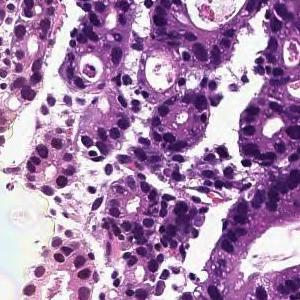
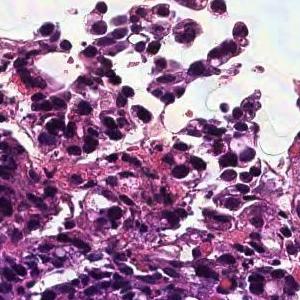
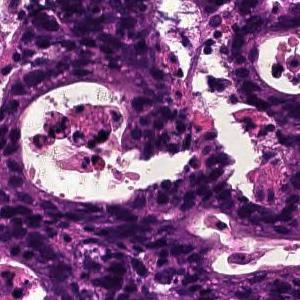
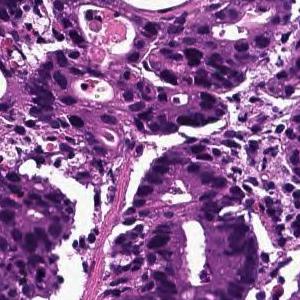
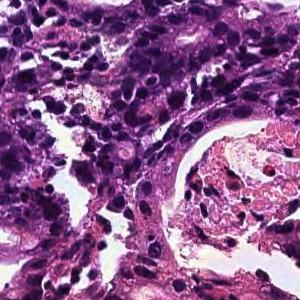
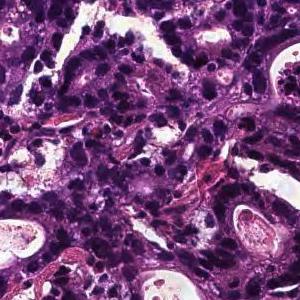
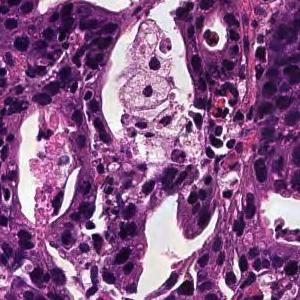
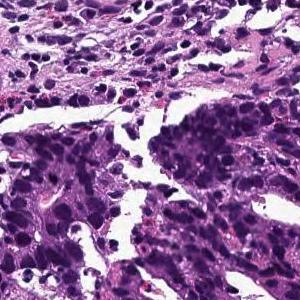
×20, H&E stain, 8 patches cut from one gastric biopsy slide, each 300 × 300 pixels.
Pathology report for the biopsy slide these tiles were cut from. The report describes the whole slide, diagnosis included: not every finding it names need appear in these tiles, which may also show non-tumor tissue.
In the superficial epithelium, tumor tissue that invades by forming medium-sized to small, irregular ducts is observed. moderately differentiated tubular adenocarcinoma.
